H&E stain; scanned at ×20; 4 image tiles from a single gastric biopsy slide.
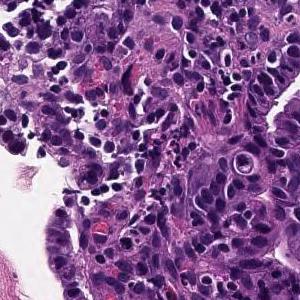
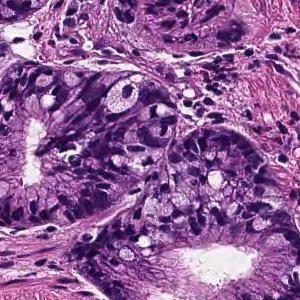
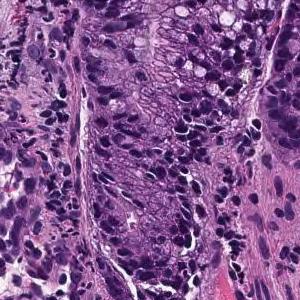
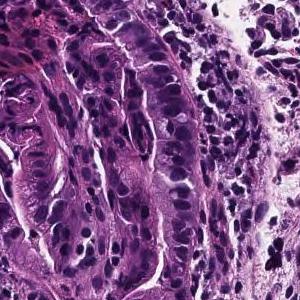
Diagnostic report for the slide these tiles come from. Both the report and the diagnosis are for the whole slide: these tiles need not show every feature named, and some of the tissue shown may not be tumor.
From the superficial epithelium to the muscularis mucosae, tumor tissue consisting of medium-sized and irregular glandular ducts infiltrating is observed. Well differentiated tubular adenocarcinoma
